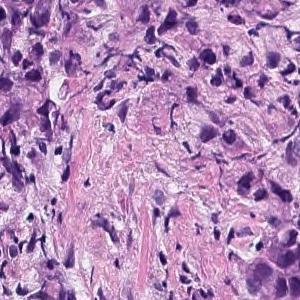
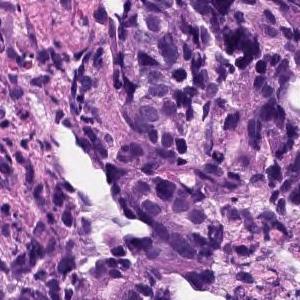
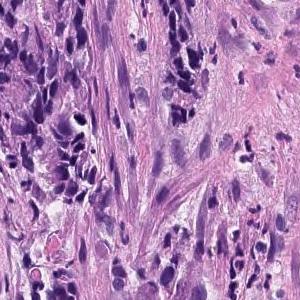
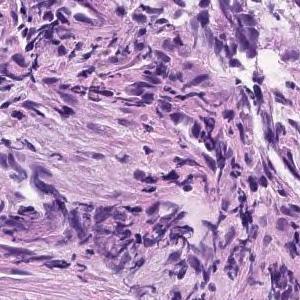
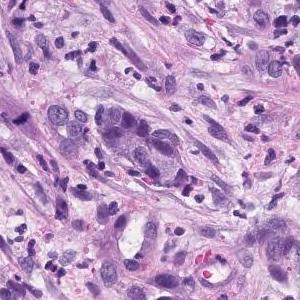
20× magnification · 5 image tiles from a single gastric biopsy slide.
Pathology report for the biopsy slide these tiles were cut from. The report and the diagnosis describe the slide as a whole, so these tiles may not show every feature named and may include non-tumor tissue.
Medium to small, irregular glandular ducts are formed in the superficial epithelium, and in some cases, the glandular ducts are fused to show solid alveolar lesions and infiltrating tumor tissue is observed. Moderately to poorly differentiated adenocarcinoma.
